×20 · hematoxylin and eosin stain · 8 image tiles from a single gastric biopsy slide · each 300 × 300 pixels.
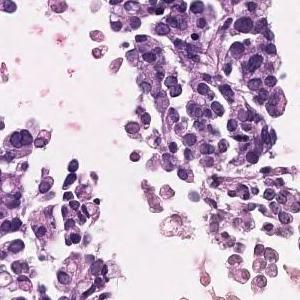
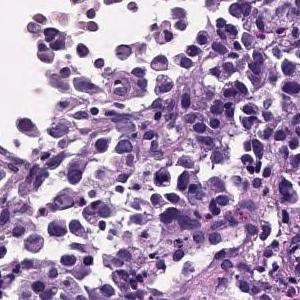
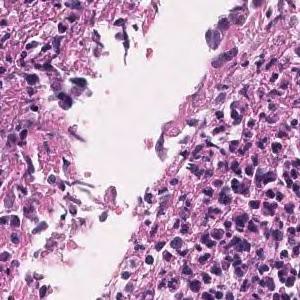
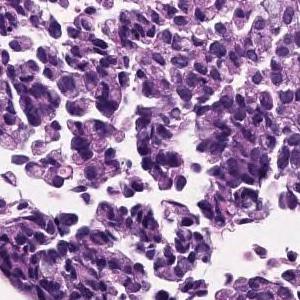
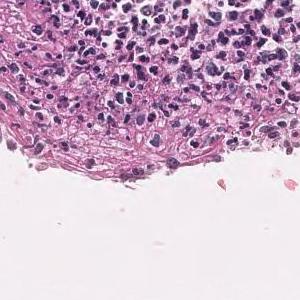
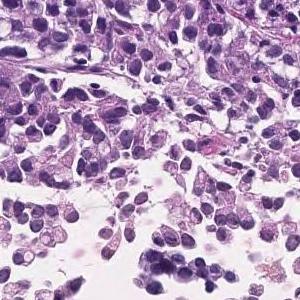
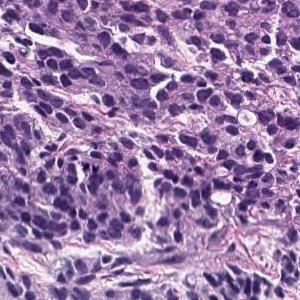
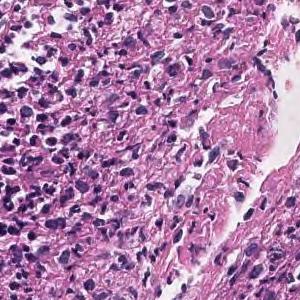
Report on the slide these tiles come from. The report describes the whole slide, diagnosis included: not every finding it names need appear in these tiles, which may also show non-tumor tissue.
The superficial epithelium shows a large sheet-like shape, and some tumor tissue infiltrates with small irregular ducts. Poorly differentiated adenocarcinoma, solid-type
Histological subtype: Poorly differentiated adenocarcinoma, solid type (Japanese Classification of Gastric Carcinoma). The WHO 2019 equivalent is tubular adenocarcinoma, poorly differentiated.
